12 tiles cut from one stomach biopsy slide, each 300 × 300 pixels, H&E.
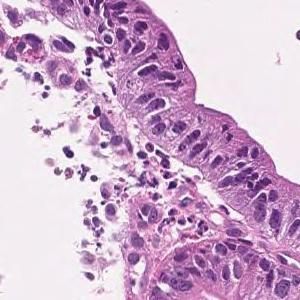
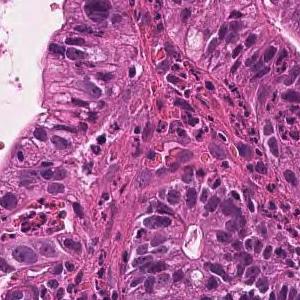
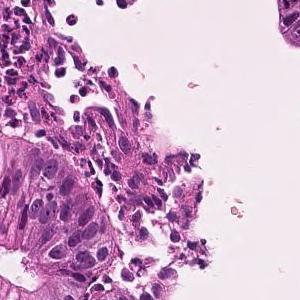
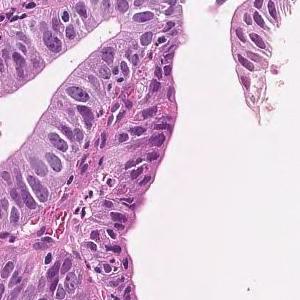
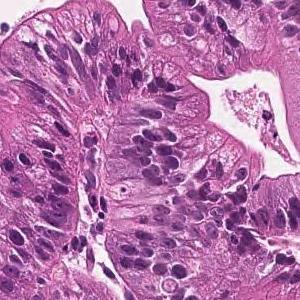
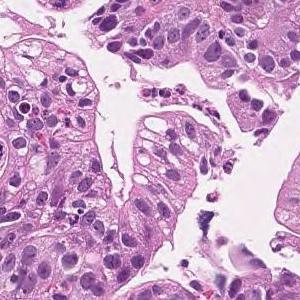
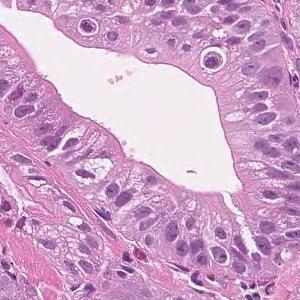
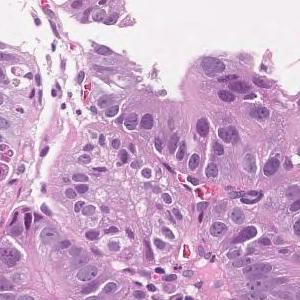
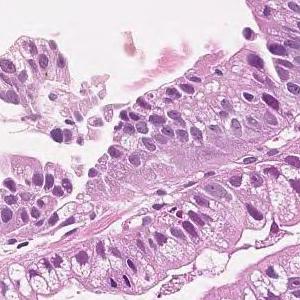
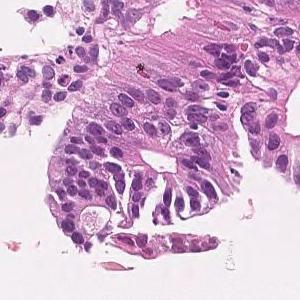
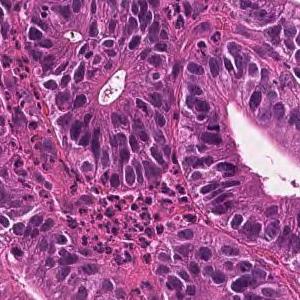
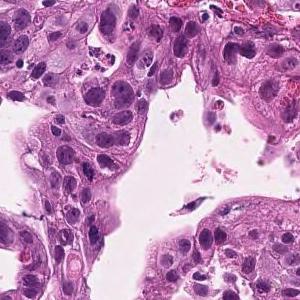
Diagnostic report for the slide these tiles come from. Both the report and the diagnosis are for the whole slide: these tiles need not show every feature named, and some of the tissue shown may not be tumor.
Tumor cells are large, highly columnar, large club-shaped nuclei, and are associated with chromatin aggregation. Papillary adenocarcinoma.
